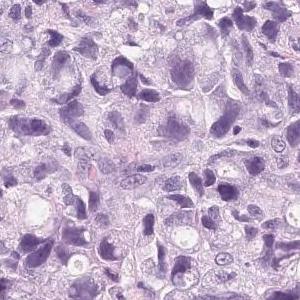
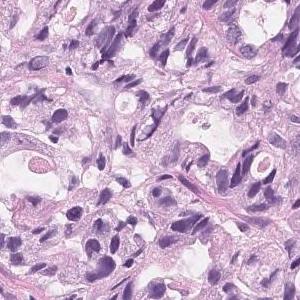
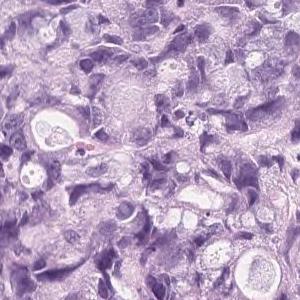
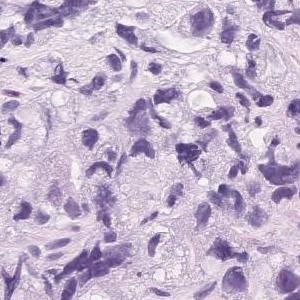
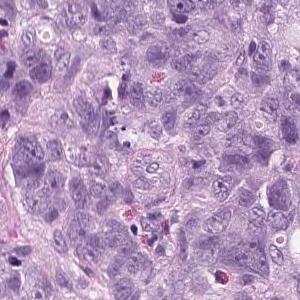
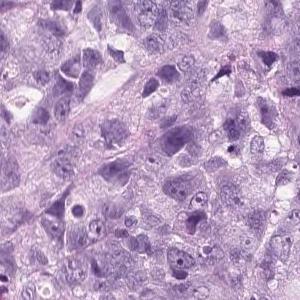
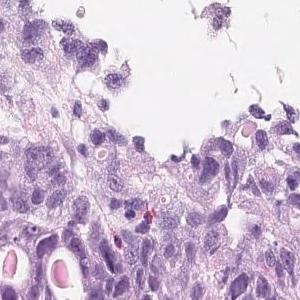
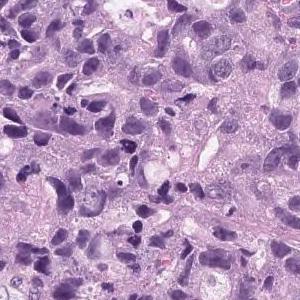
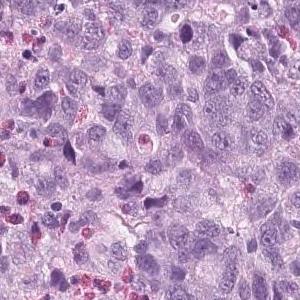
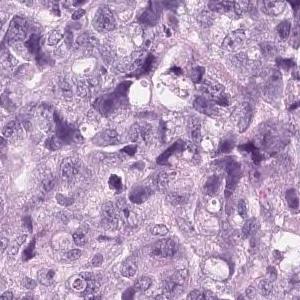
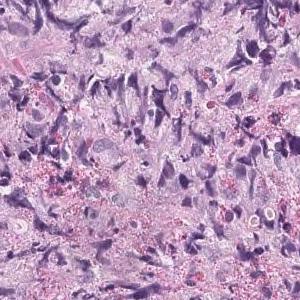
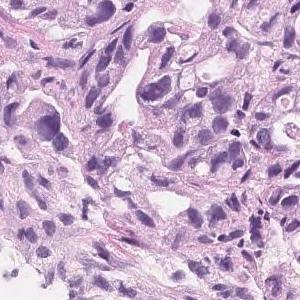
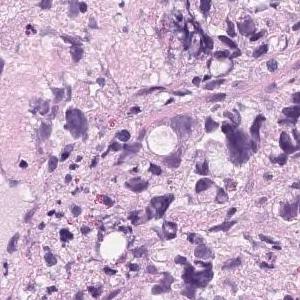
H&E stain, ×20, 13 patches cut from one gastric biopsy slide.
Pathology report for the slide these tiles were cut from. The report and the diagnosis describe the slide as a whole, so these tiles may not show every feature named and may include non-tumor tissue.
Tumor tissue that infiltrates and proliferates by forming small glandular cavities in the superficial layer to the submucosa or forming a mass is observed. moderately differentiated tubular adenocarcinoma
